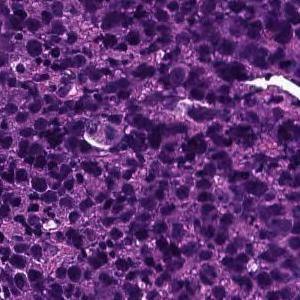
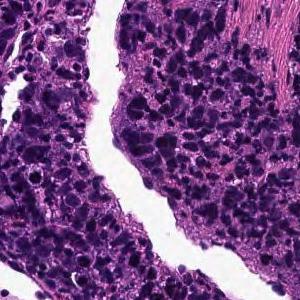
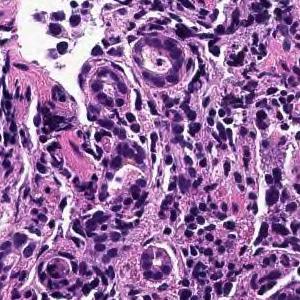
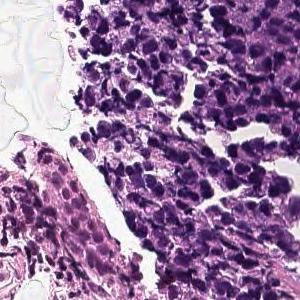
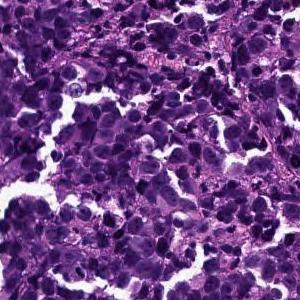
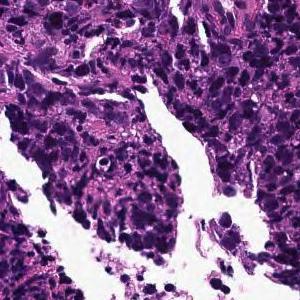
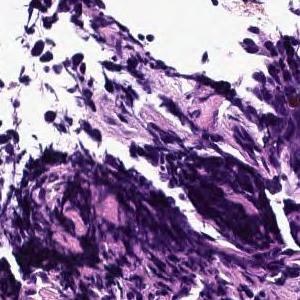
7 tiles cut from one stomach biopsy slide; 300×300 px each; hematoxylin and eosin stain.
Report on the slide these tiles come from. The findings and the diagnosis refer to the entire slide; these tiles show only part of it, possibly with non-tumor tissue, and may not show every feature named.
The superficial epithelium shows large alveolar or sheet-like forms, and some tumor tissue infiltrates with small irregular ducts. Poorly differentiated adenocarcinoma, solid-type
Classified as poorly differentiated adenocarcinoma, solid type (Japanese Classification of Gastric Carcinoma). The WHO 2019 equivalent is tubular adenocarcinoma, poorly differentiated.
